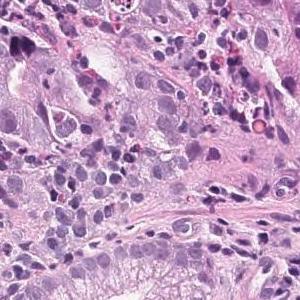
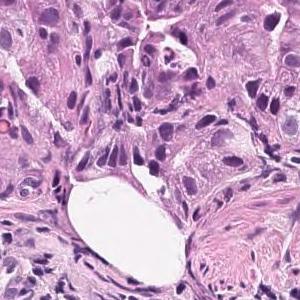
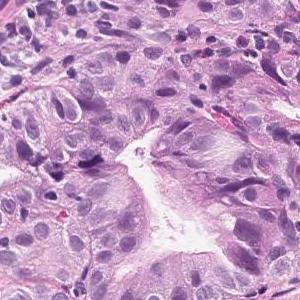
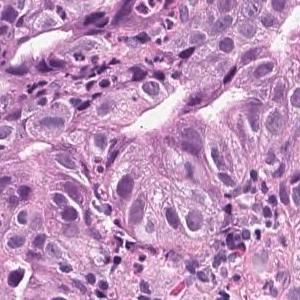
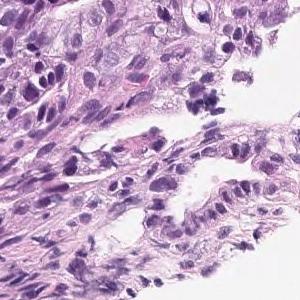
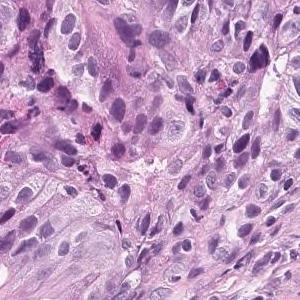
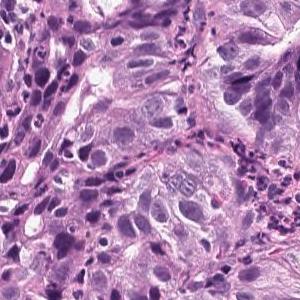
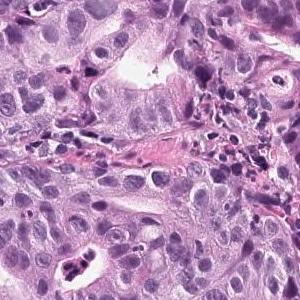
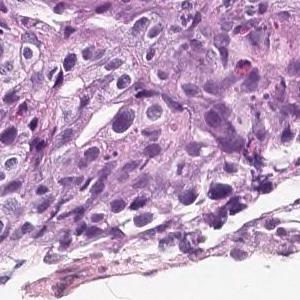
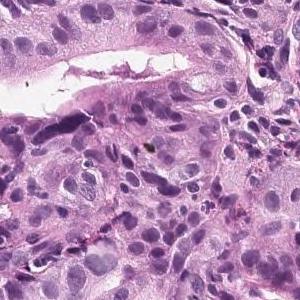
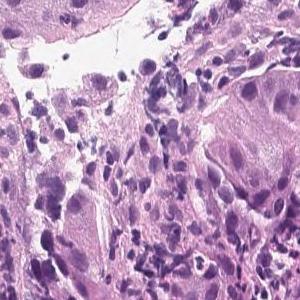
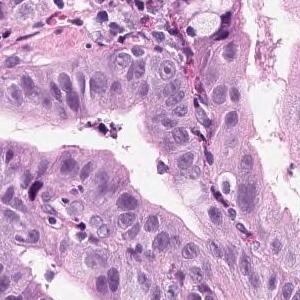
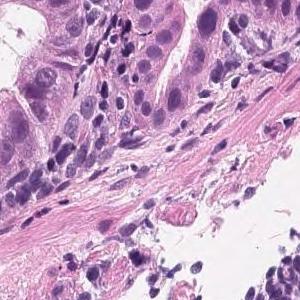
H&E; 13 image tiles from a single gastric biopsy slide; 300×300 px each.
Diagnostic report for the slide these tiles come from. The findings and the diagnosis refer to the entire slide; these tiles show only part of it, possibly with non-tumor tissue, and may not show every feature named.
On the superficial epithelium, tumor tissue consisting of medium-sized to large-sized, irregular tubules partially fused and densely proliferating is observed. moderately differentiated tubular adenocarcinoma
